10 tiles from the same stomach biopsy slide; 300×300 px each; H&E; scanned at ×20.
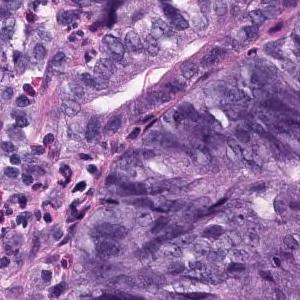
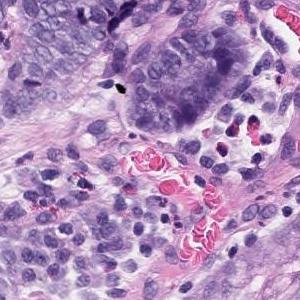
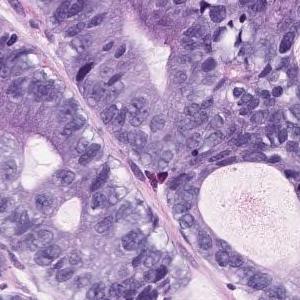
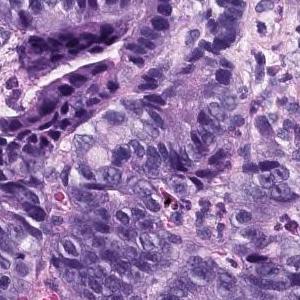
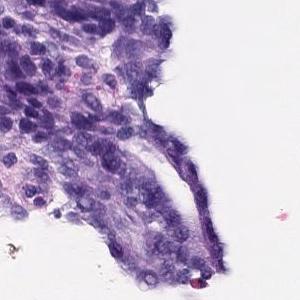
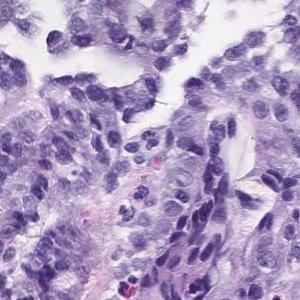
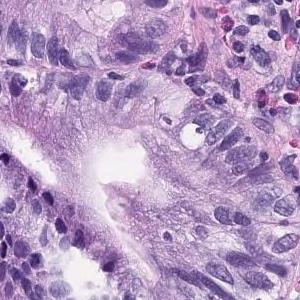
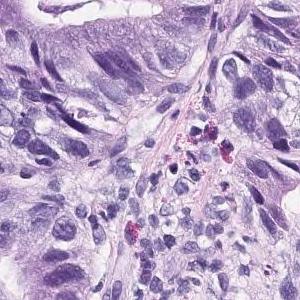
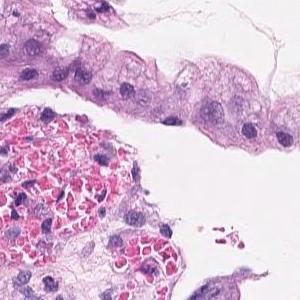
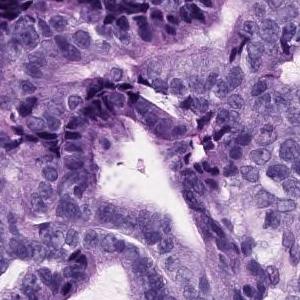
Diagnostic report for the slide these tiles come from. The findings and the diagnosis refer to the entire slide; these tiles show only part of it, possibly with non-tumor tissue, and may not show every feature named.
In the superficial epithelium, tumor tissue that invades by forming medium-sized to small, irregular ducts is observed. Well to moderately differentiated tubular adenocarcinoma.
